5 patches cut from one gastric biopsy slide, each 300 × 300 pixels, scanned at ×20, H&E stain.
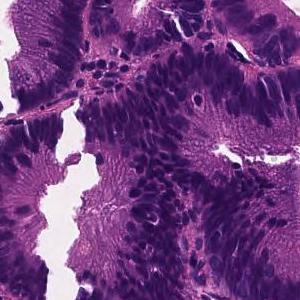
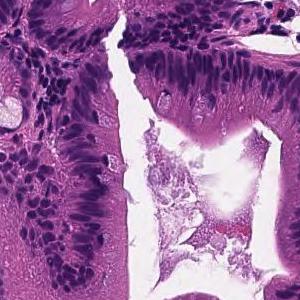
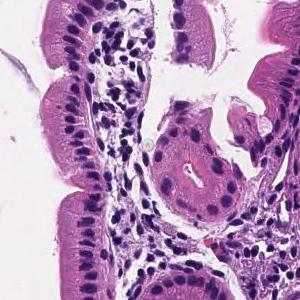
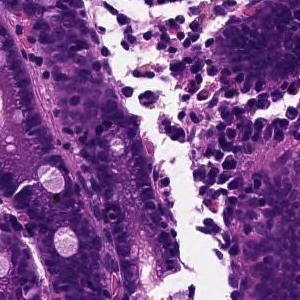
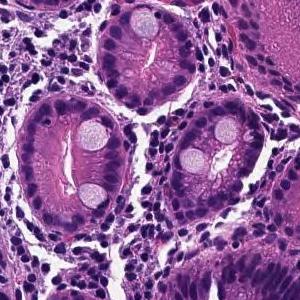
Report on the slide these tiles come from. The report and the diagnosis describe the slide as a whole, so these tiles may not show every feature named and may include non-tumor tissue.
Tumor tissue in which medium to small irregular ducts infiltrate and proliferate in the submucosa can be seen in the epithelium. Well differentiated tubular adenocarcinoma
